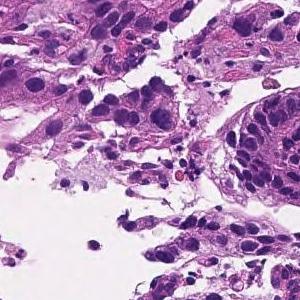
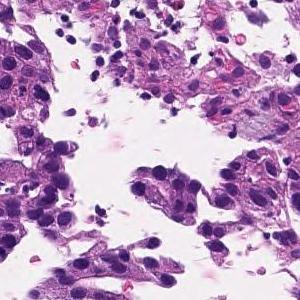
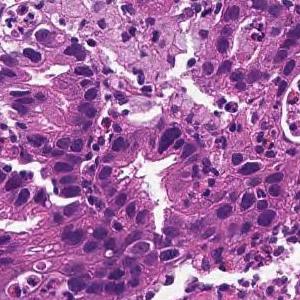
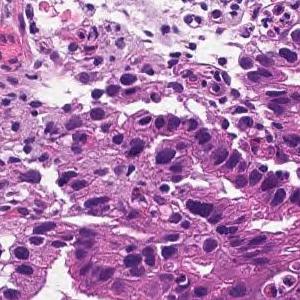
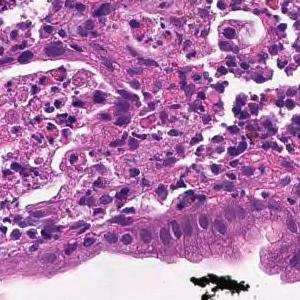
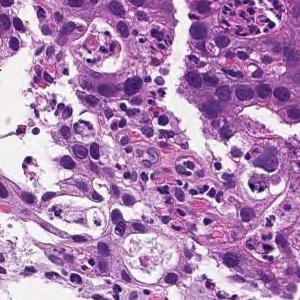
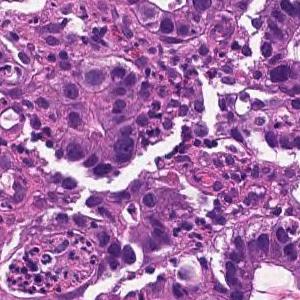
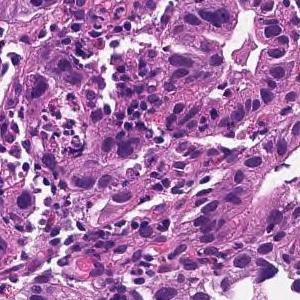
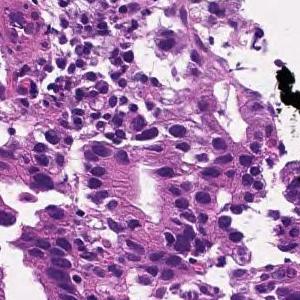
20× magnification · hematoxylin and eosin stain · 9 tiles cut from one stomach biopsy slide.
Pathology report for the slide these tiles were cut from. The report and the diagnosis cover the entire slide, so not every feature they name need be visible here, and some tissue shown may not be tumor.
Medium to small, irregular glandular ducts are formed in the superficial epithelium, and in some cases, the glandular ducts are fused to show solid alveolar lesions and infiltrating tumor tissue is observed. Moderately to poorly differentiated adenocarcinoma.
